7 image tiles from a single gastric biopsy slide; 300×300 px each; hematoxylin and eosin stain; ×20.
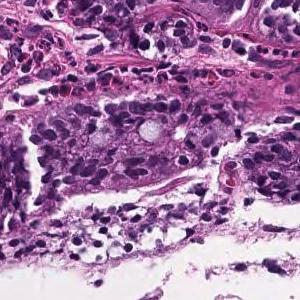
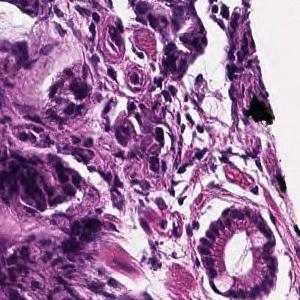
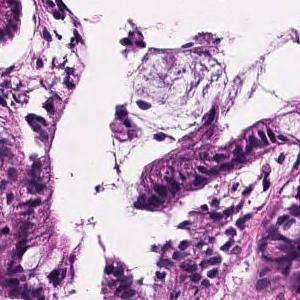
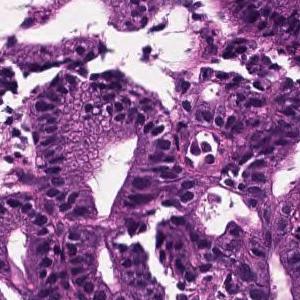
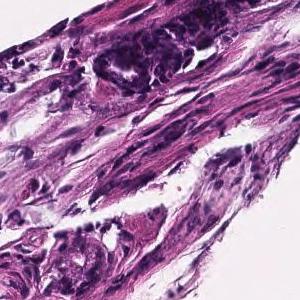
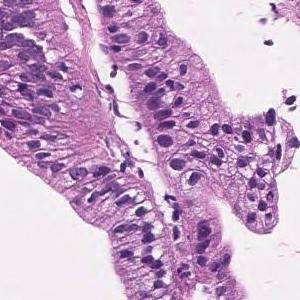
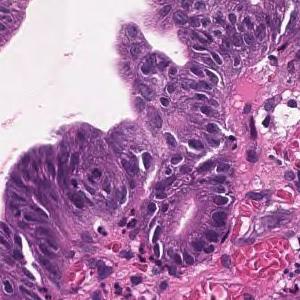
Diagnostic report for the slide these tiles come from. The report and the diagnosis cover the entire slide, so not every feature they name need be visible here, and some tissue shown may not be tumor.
In the superficial epithelium, tumor tissue that invades by forming medium-sized to small, irregular ducts is observed. Well differentiated tubular adenocarcinoma.
